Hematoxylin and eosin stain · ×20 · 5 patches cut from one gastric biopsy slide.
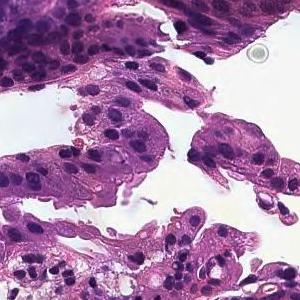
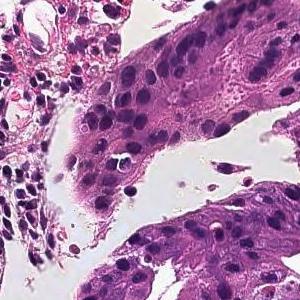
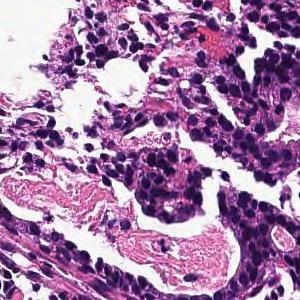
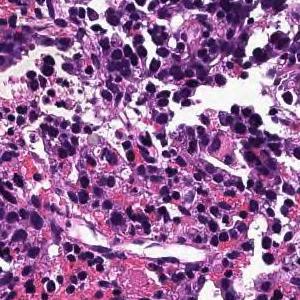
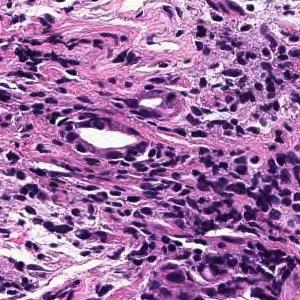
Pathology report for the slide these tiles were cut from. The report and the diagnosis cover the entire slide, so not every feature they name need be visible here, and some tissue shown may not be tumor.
In the superficial epithelium, tumor tissue that invades by forming medium-sized to small, irregular ducts is observed. moderately differentiated tubular adenocarcinoma.
